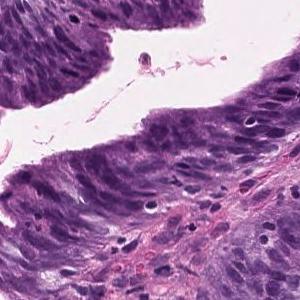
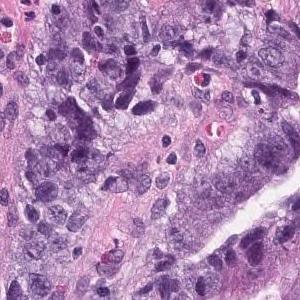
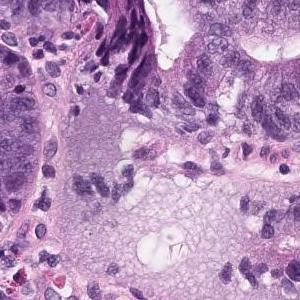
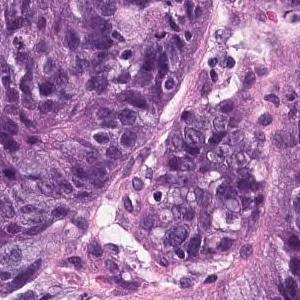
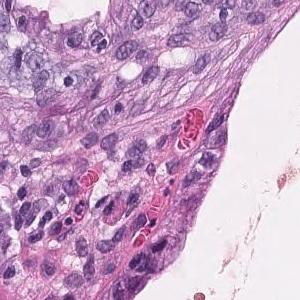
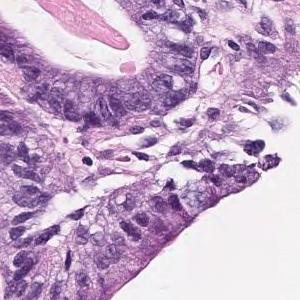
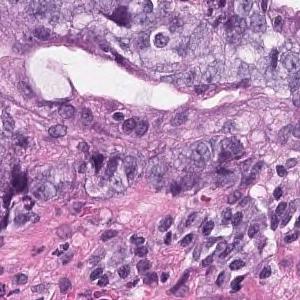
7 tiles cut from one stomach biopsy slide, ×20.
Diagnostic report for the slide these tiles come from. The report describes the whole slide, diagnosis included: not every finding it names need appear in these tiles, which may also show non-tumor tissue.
Large atypical epithelial cells with swollen atypical nuclei are seen proliferating into a tubular fusion gland. moderately differentiated tubular adenocarcinoma
